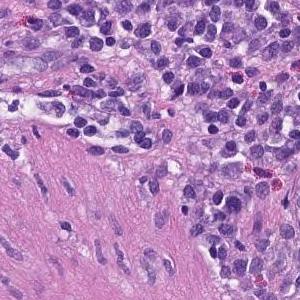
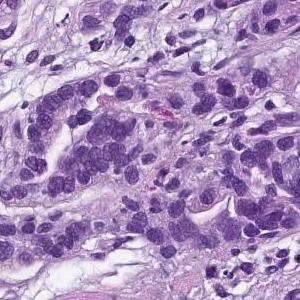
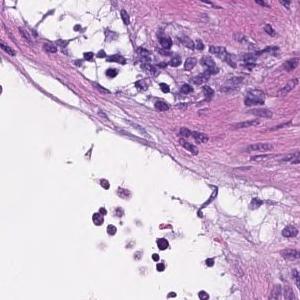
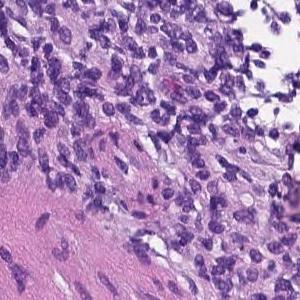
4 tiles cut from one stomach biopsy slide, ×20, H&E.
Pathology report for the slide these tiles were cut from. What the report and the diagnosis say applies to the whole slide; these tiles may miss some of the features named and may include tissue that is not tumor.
From the superficial epithelium to the muscularis mucosae, tumor tissue consisting of medium-sized and irregular glandular ducts infiltrating is observed. Well differentiated tubular adenocarcinoma
